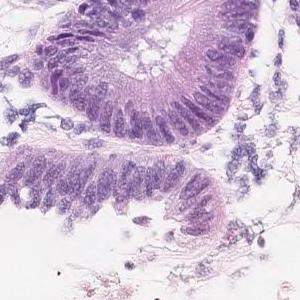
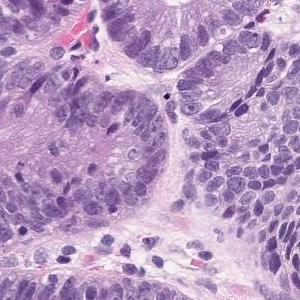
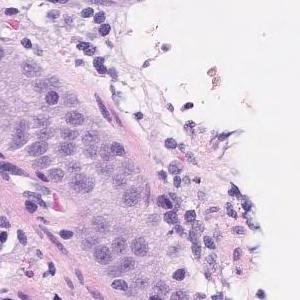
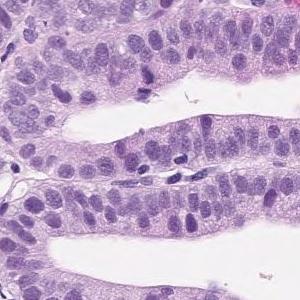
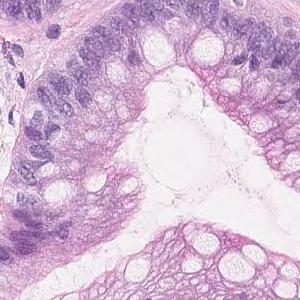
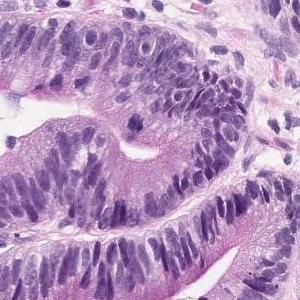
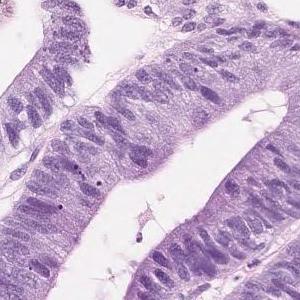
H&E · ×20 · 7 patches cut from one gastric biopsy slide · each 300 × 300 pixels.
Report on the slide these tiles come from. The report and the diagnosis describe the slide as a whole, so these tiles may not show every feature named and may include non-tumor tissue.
Short atypical epithelium with swelling of the nucleus shows proliferating, large and small irregular ductal structures. Well to moderately differentiated tubular adenocarcinoma (well differentiated tubular adenocarcinoma-moderately differentiated tubular adenocarcinoma)
Classified as well to moderately differentiated tubular adenocarcinoma.
